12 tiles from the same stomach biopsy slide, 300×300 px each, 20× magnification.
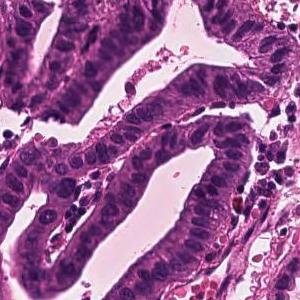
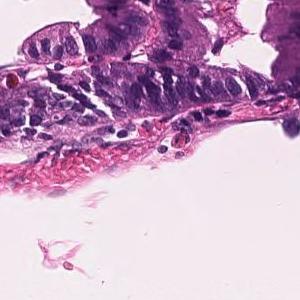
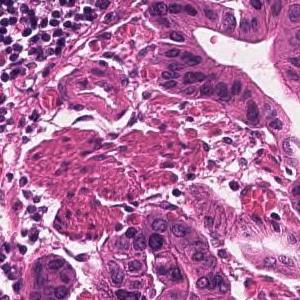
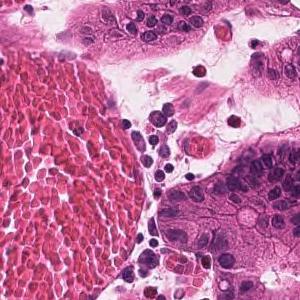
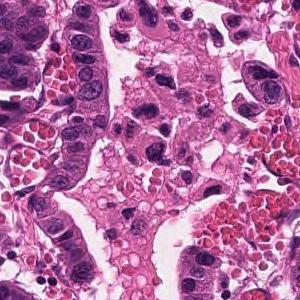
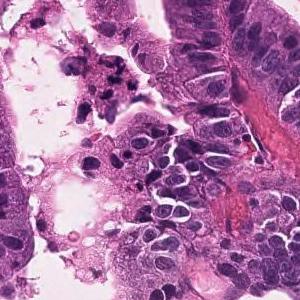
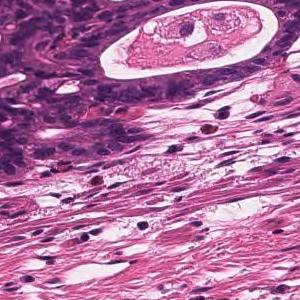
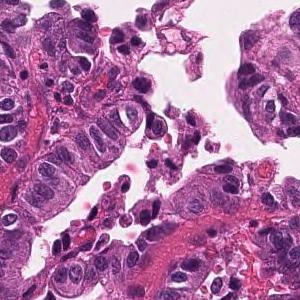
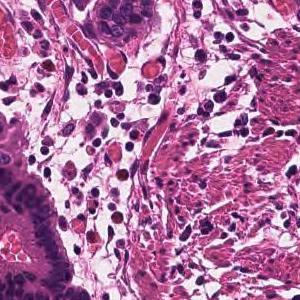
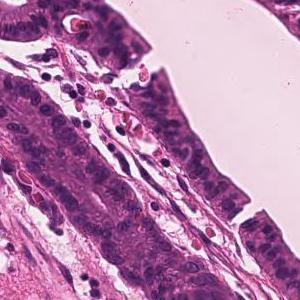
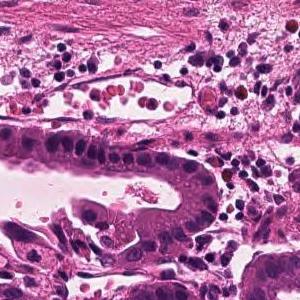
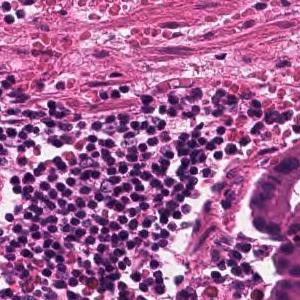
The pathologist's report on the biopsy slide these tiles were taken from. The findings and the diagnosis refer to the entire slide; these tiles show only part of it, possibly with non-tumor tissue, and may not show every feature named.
Infiltrating tumor tissue with medium-sized, irregular ductal structure or large papillary appearance is observed. Well differentiated tubular adenocarcinoma
